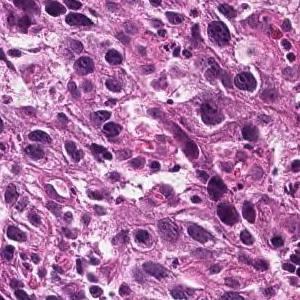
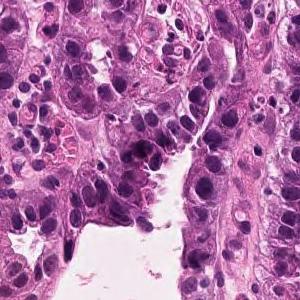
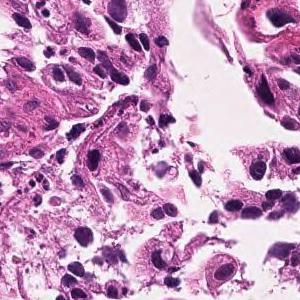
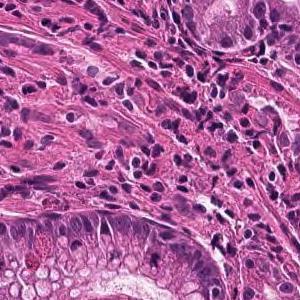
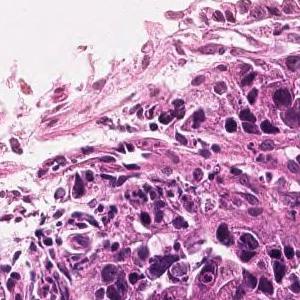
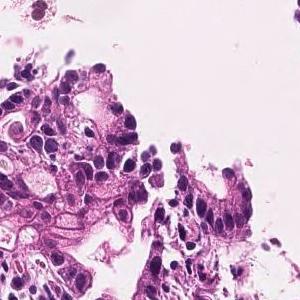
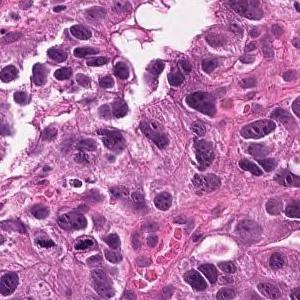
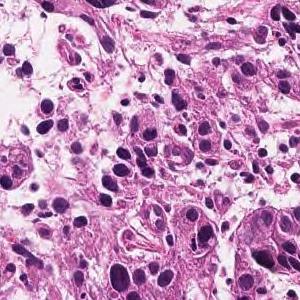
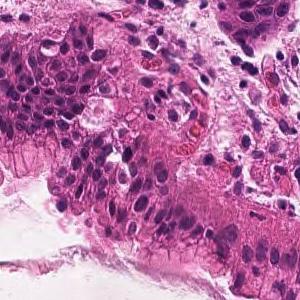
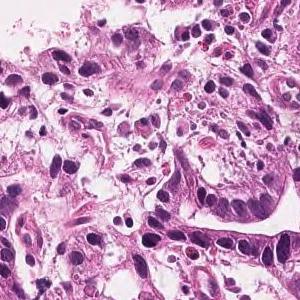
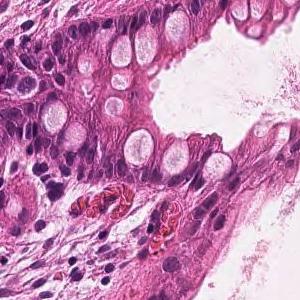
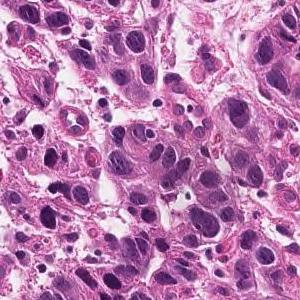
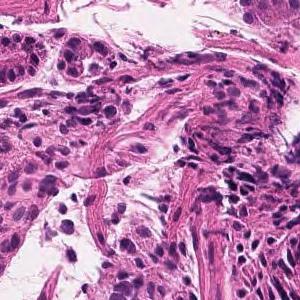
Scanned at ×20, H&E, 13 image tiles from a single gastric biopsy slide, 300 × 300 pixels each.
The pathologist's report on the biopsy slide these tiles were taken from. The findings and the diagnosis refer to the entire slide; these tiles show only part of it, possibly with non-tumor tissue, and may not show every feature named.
Tumor tissue consisting of medium-sized, cord-like or irregular glandular infiltration is observed in the superficial epithelium. Poorly differentiated adenocarcinoma, non-solid type or moderately differentiated tubular adenocarcinoma
Histologic type: Moderately to poorly differentiated adenocarcinoma.
The term "non-solid type" comes from the Japanese Classification of Gastric Carcinoma.
